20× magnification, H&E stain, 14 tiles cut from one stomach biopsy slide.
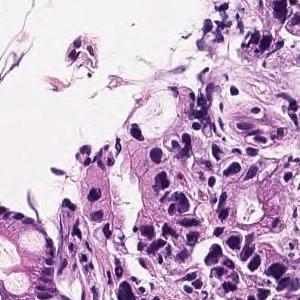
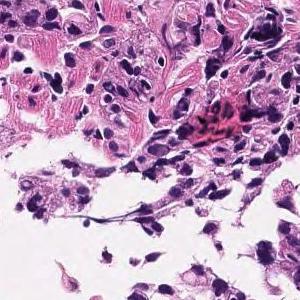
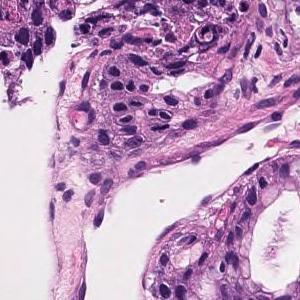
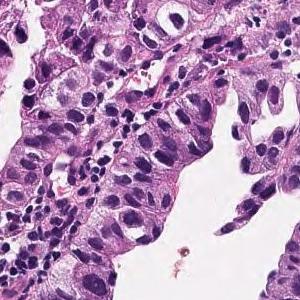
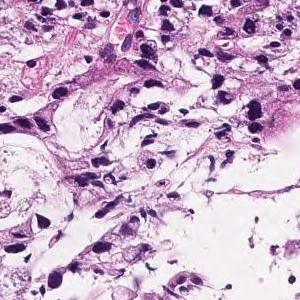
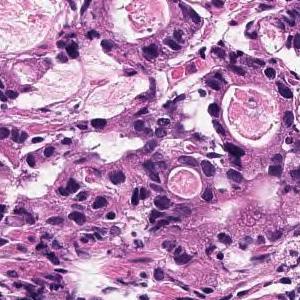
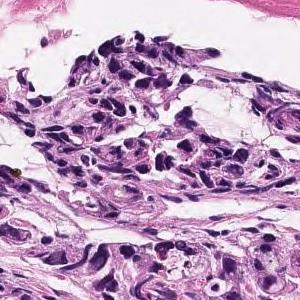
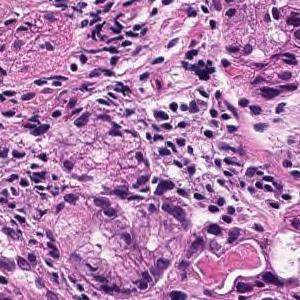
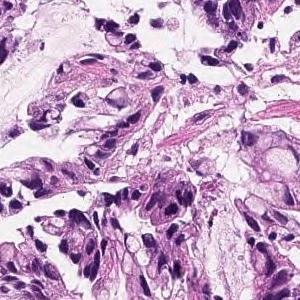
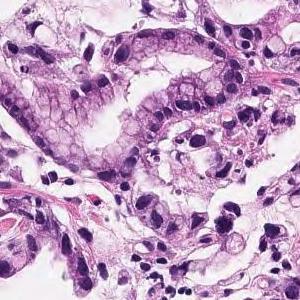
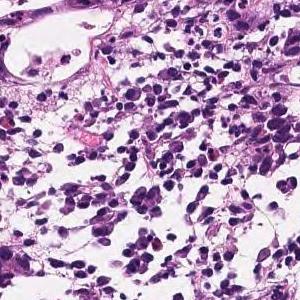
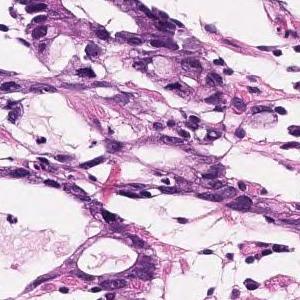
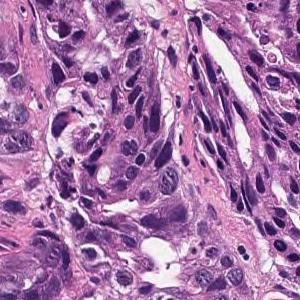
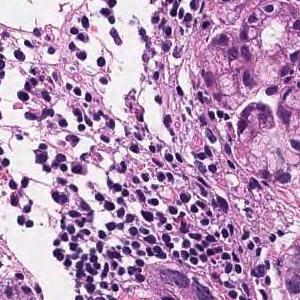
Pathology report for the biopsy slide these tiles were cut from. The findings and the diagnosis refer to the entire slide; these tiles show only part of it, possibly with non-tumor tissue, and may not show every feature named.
In the superficial epithelium, tumor tissue that invades by forming medium-sized to small, irregular ducts is observed. Moderately differentiated adenocarcinoma.
Tumor subtype: moderately differentiated tubular adenocarcinoma.
